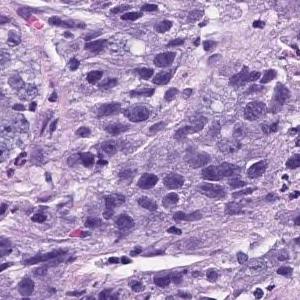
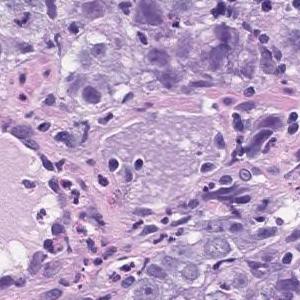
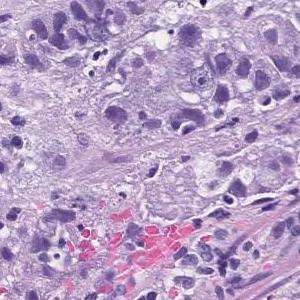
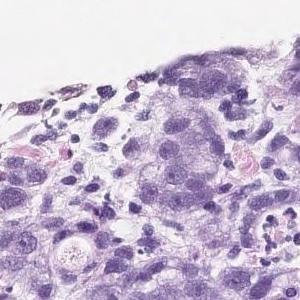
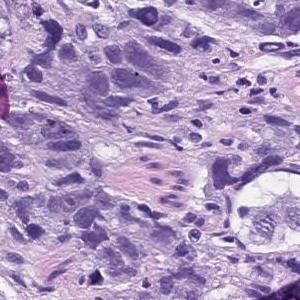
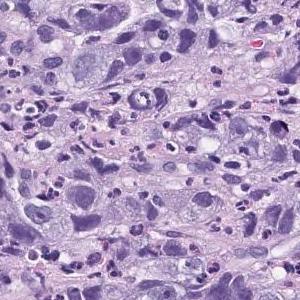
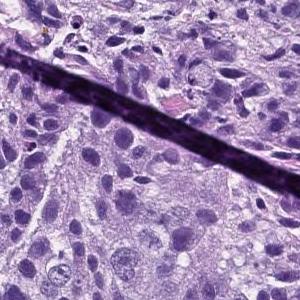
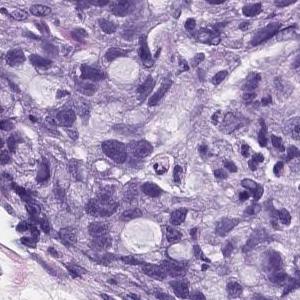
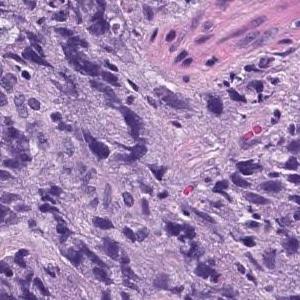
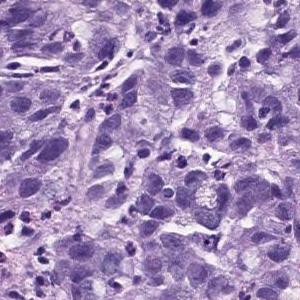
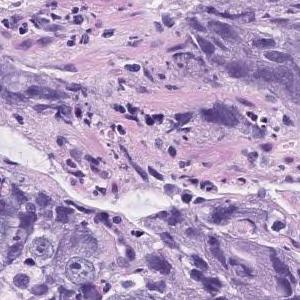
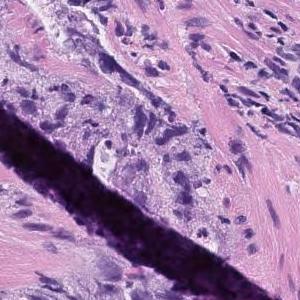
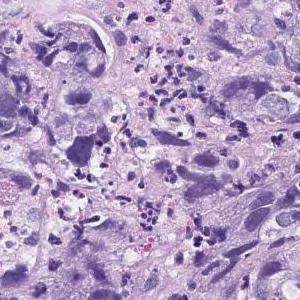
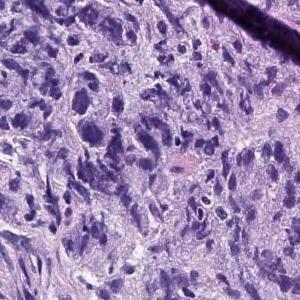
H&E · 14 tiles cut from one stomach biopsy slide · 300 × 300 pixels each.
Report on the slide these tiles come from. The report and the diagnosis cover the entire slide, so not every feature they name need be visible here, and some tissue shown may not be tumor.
Atypical l cells with atypical nuclei forming solid vesicles or small irregular atypical ducts that proliferate in a complex manner. poorly differentiated adenocarcinoma, solid type, moderately differentiated tubular adenocarcinoma
The term "solid type" comes from the Japanese Classification of Gastric Carcinoma; the WHO 2019 equivalent is tubular adenocarcinoma, poorly differentiated.
